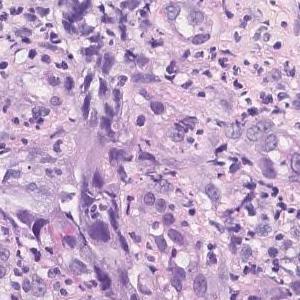
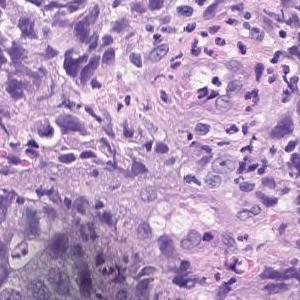
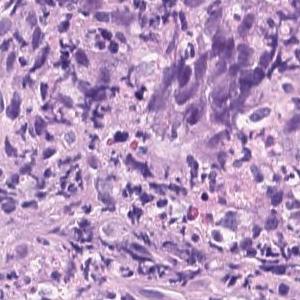
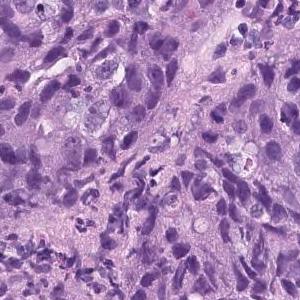
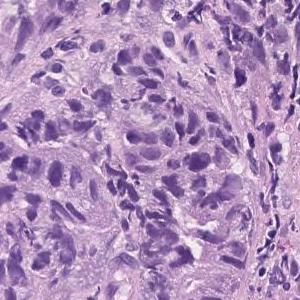
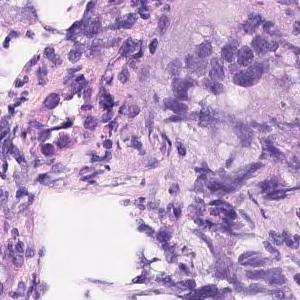
6 image tiles from a single gastric biopsy slide · H&E · scanned at ×20.
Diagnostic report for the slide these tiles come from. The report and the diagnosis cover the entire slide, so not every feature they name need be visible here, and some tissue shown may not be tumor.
Atypical epithelial cells infiltrating and proliferating diffusely or while forming vesicles is observed. Poorly differentiated adenocarcinoma (poorly differentiated adenocarcinoma, solid type moderately differentiated tubular adenocarcinoma)
The dataset labels this slide poorly differentiated adenocarcinoma, solid type. This name comes from the Japanese Classification of Gastric Carcinoma; the WHO 2019 classification calls it tubular adenocarcinoma, poorly differentiated.
